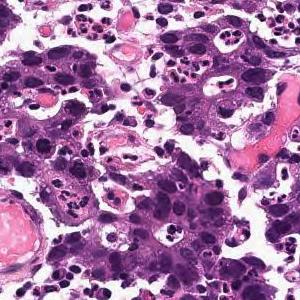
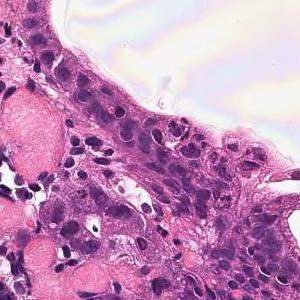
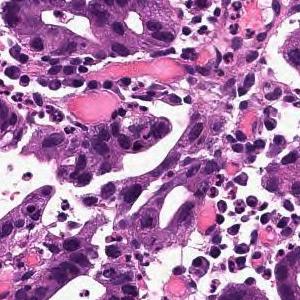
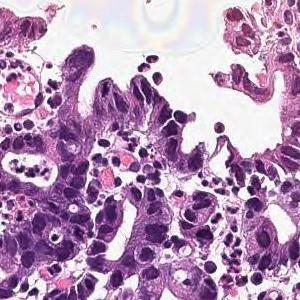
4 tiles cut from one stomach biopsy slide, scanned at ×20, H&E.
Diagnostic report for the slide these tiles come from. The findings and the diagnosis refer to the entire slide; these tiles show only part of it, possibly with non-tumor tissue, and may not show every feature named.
On the superficial epithelium, a tumor tissue consisting of a large, irregular glandular duct partially fused and infiltrating with a small alveolar shape is observed. Well or moderately differentiated tubular adenocarcinoma (well differentiated tubular adenocarcinoma, moderately differentiated tubular adenocarcinoma)
Classified as well to moderately differentiated tubular adenocarcinoma.
